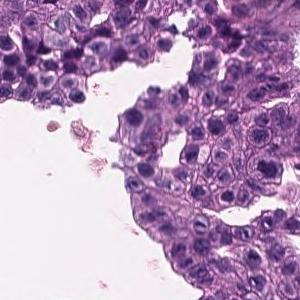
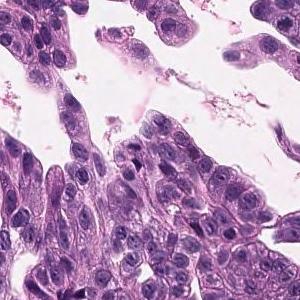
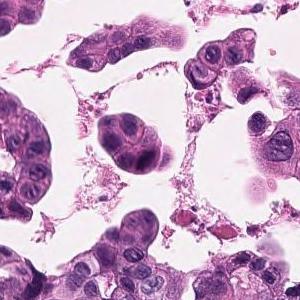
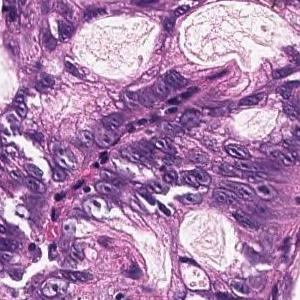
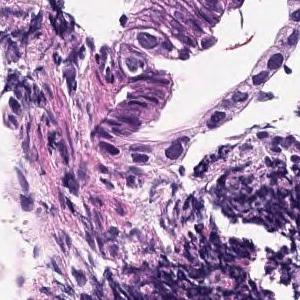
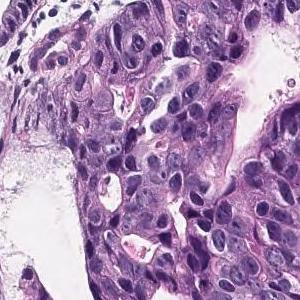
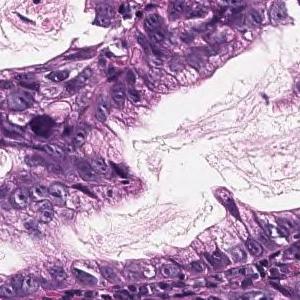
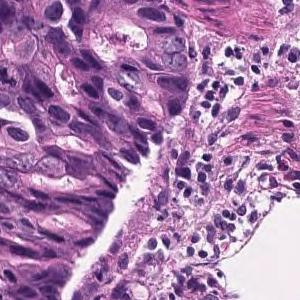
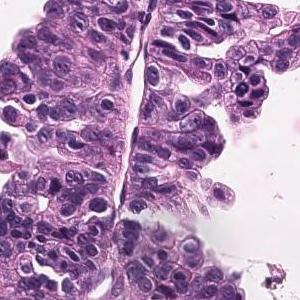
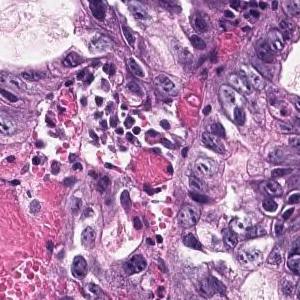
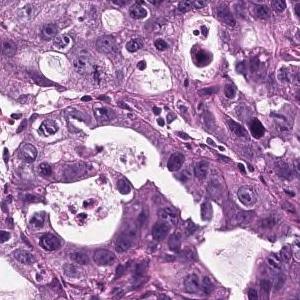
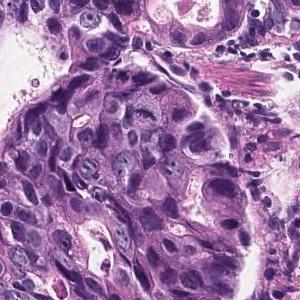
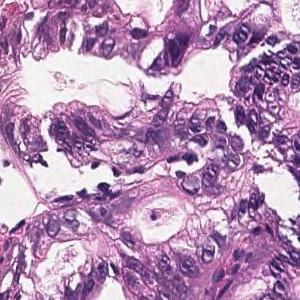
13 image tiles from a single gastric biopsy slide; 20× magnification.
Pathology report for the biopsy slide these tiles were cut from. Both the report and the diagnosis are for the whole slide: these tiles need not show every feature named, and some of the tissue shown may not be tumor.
Tumor cells are large, highly columnar, large club-shaped nuclei, and are associated with chromatin aggregation. Papillary adenocarcinoma.
